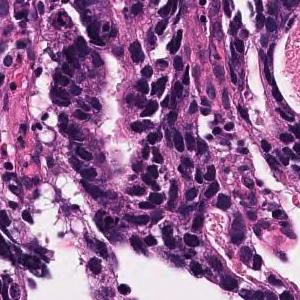
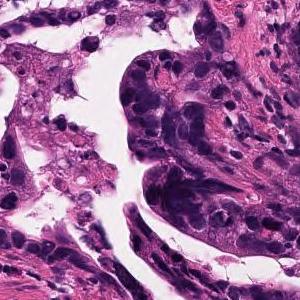
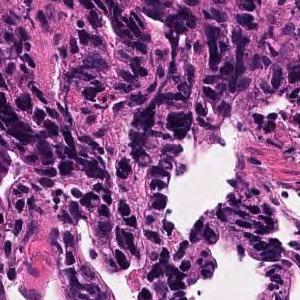
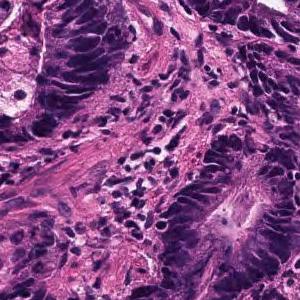
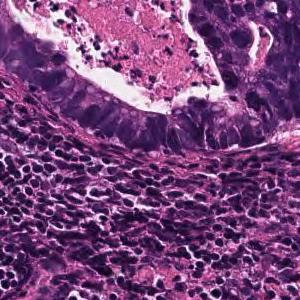
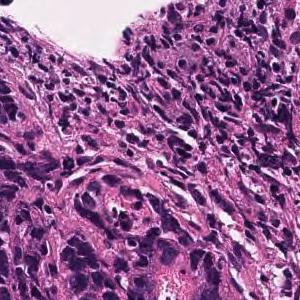
6 tiles from the same stomach biopsy slide · H&E.
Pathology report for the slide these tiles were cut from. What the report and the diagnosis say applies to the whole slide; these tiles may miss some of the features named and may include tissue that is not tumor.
Large and small irregular small glandular ducts forming and infiltrating. moderately differentiated tubular adenocarcinoma
